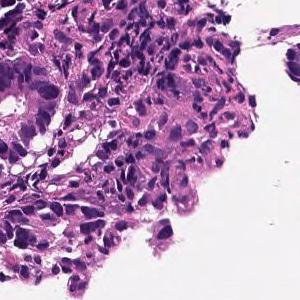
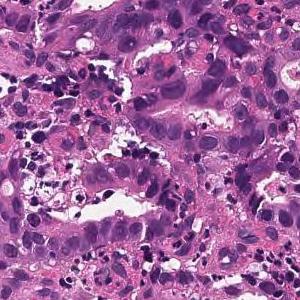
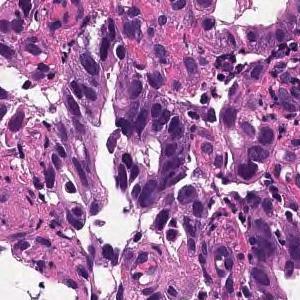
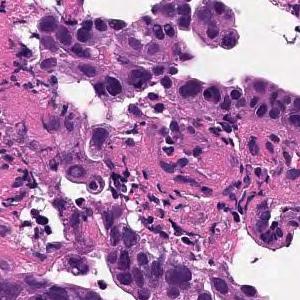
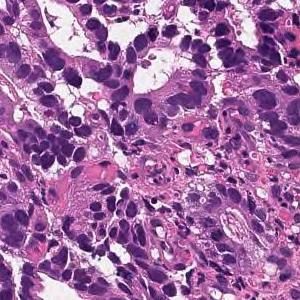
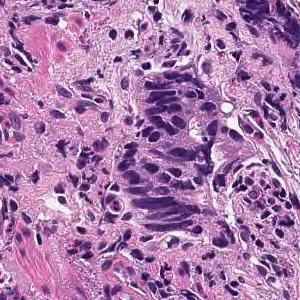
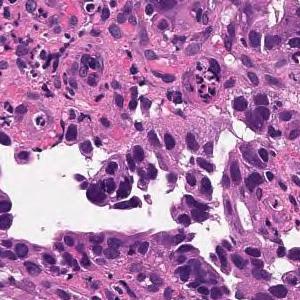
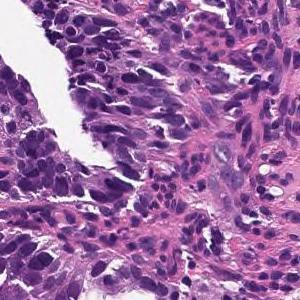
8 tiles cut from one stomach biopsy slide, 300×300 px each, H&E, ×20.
The pathologist's report on the biopsy slide these tiles were taken from. The report and the diagnosis describe the slide as a whole, so these tiles may not show every feature named and may include non-tumor tissue.
Tumor cells are large, highly columnar, large club-shaped nuclei, and are associated with chromatin aggregation. Papillary adenocarcinoma.
